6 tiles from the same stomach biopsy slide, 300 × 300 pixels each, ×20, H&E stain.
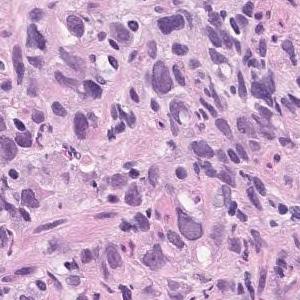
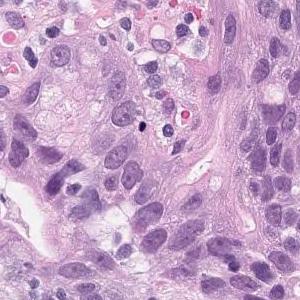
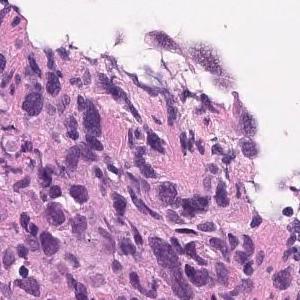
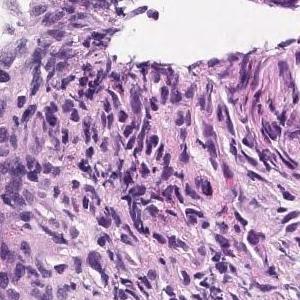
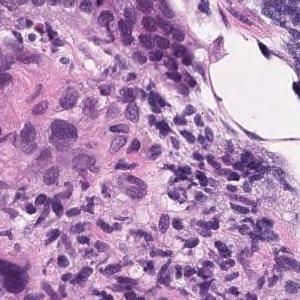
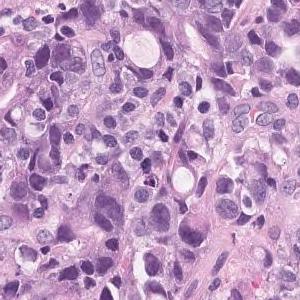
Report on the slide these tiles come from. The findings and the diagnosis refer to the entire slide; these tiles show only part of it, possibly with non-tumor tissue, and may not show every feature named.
Tumor tissue consisting of medium-sized, cord-like or irregular glandular infiltration is observed in the superficial epithelium. Poorly differentiated adenocarcinoma, non-solid type or moderately differentiated tubular adenocarcinoma
The dataset labels this slide poorly differentiated adenocarcinoma, non-solid type.
"Non-solid type" is a category of the Japanese Classification of Gastric Carcinoma.
